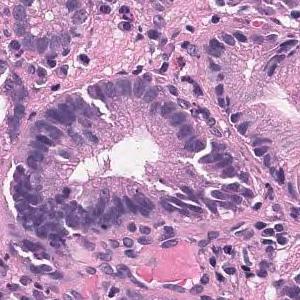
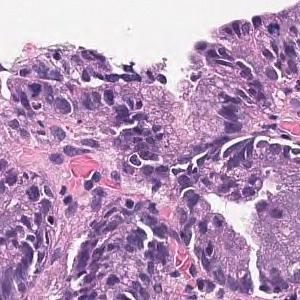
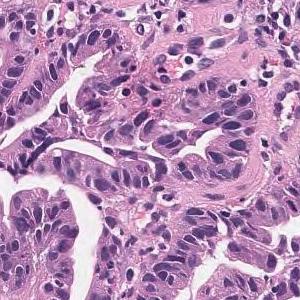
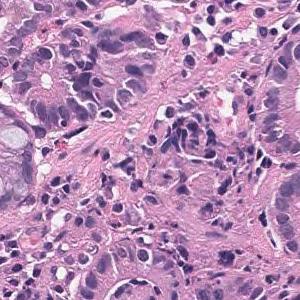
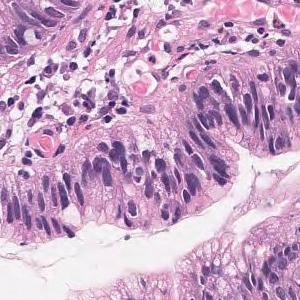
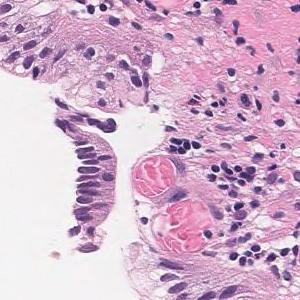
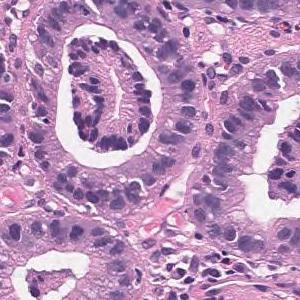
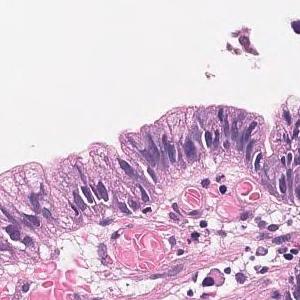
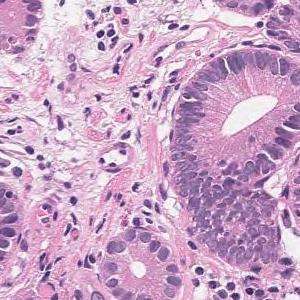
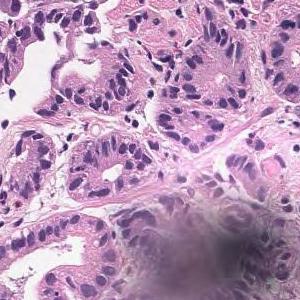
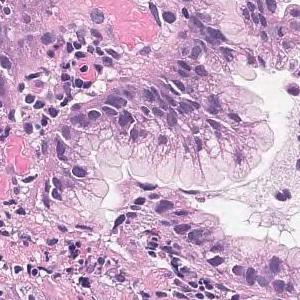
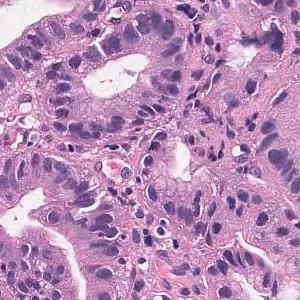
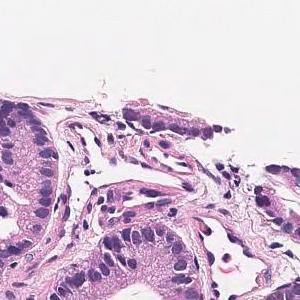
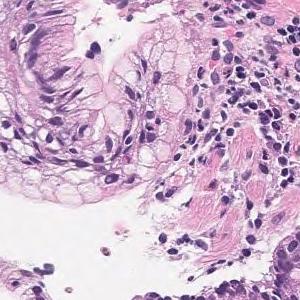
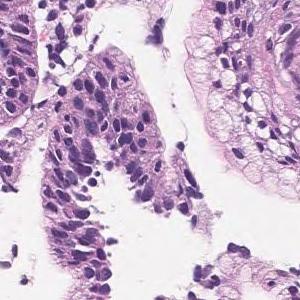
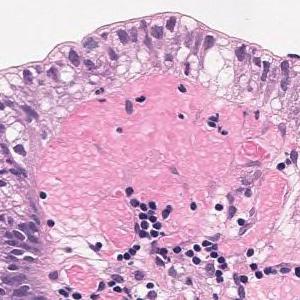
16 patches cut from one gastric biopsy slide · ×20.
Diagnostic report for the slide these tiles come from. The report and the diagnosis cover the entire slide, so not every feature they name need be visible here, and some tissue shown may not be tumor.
Tumor tissue that grows tubular from the surface to the glandular fossa is seen. Adenocarcinoma.
Histologic type: Well differentiated tubular adenocarcinoma.
